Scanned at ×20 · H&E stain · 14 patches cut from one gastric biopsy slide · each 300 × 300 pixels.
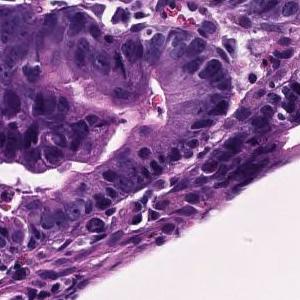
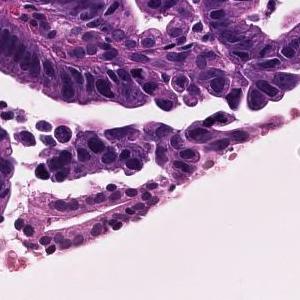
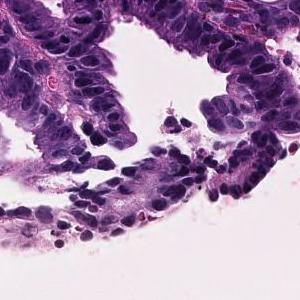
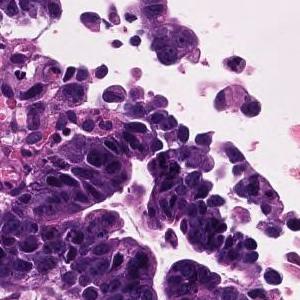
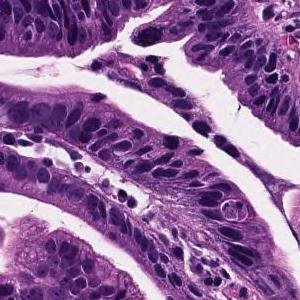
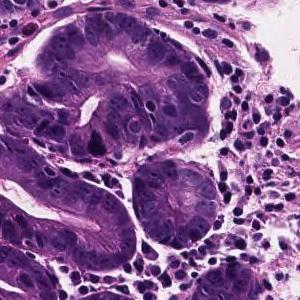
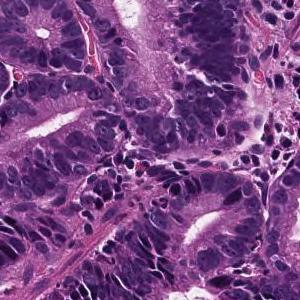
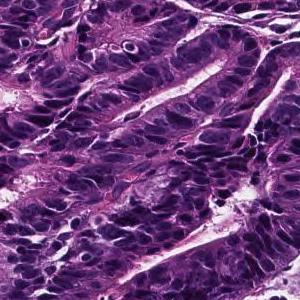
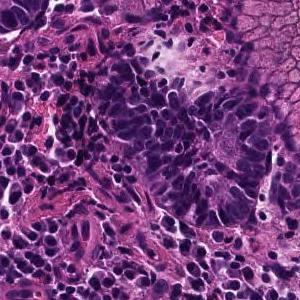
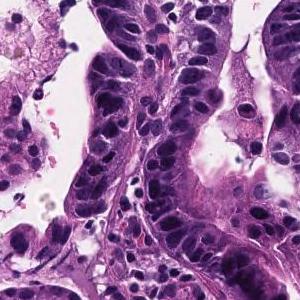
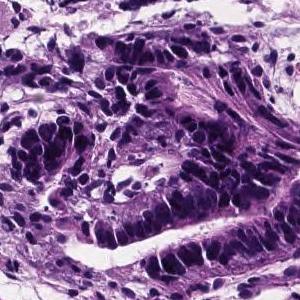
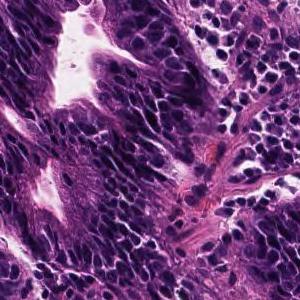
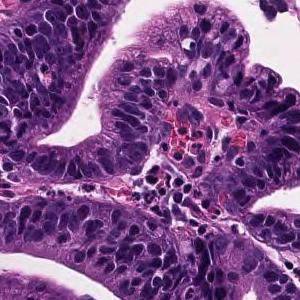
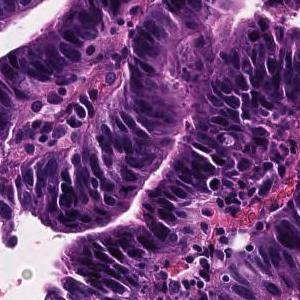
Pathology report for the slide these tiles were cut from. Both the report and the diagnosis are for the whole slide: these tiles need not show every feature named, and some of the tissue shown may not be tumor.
On the superficial epithelium, tumor tissue consisting of growth of medium-sized to large-sized, round or irregular glandular ducts is observed. Well differentiated tubular adenocarcinoma
